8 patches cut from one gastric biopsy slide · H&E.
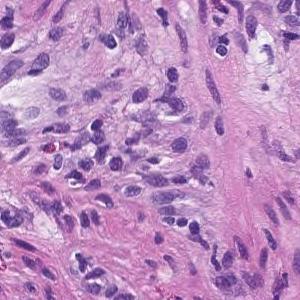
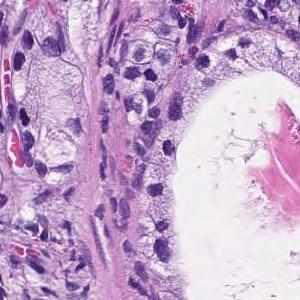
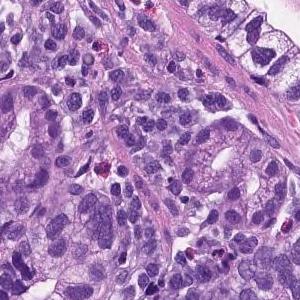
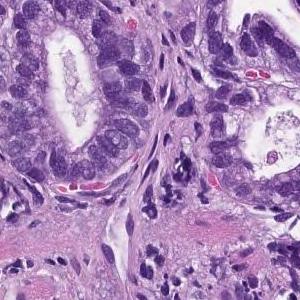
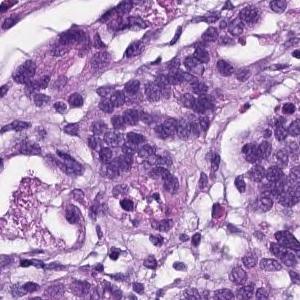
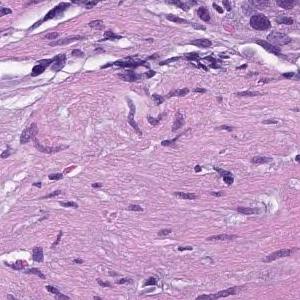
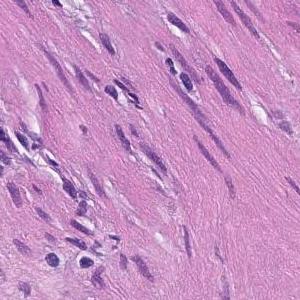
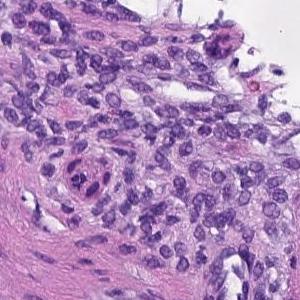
Diagnostic report for the slide these tiles come from. The report describes the whole slide, diagnosis included: not every finding it names need appear in these tiles, which may also show non-tumor tissue.
From the superficial epithelium to the muscularis mucosae, tumor tissue consisting of medium-sized and irregular glandular ducts infiltrating is observed. Well differentiated tubular adenocarcinoma
